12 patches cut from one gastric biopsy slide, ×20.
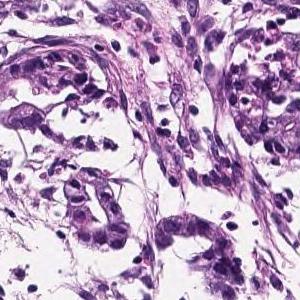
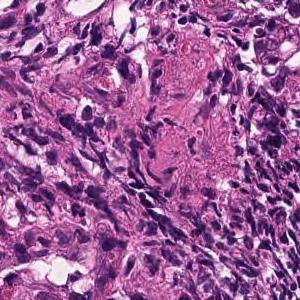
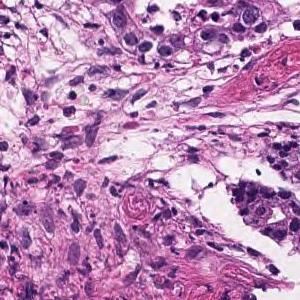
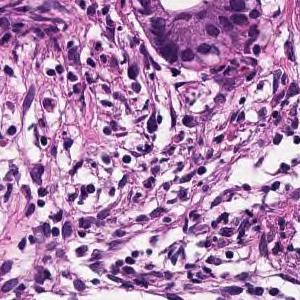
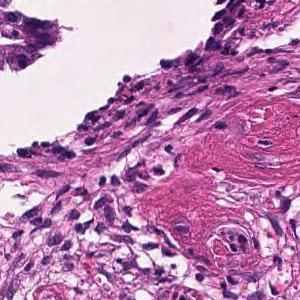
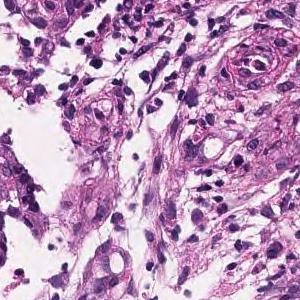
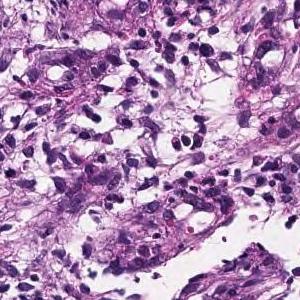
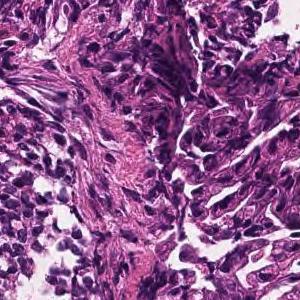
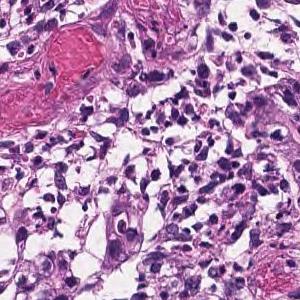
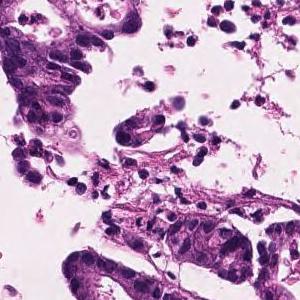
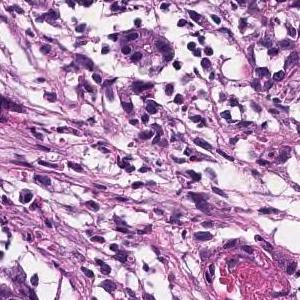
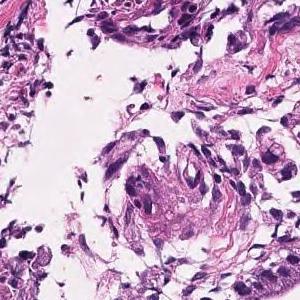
Pathology report for the biopsy slide these tiles were cut from. What the report and the diagnosis say applies to the whole slide; these tiles may miss some of the features named and may include tissue that is not tumor.
In the superficial epithelium, medium to small, irregular gland ducts are formed, and in some cases, the gland ducts are fused to show solid alveolar lesions and infiltrating tumor tissue is observed. Moderately to poorly differentiated adenocarcinoma.
